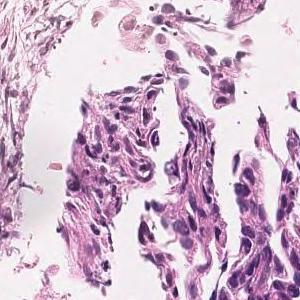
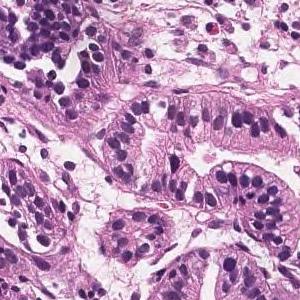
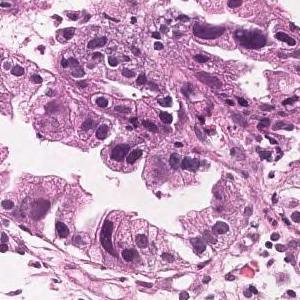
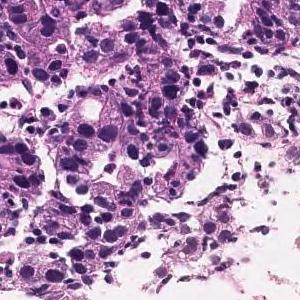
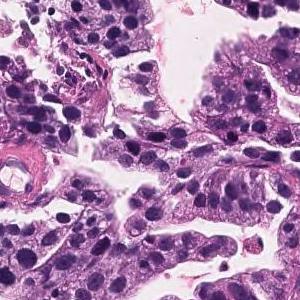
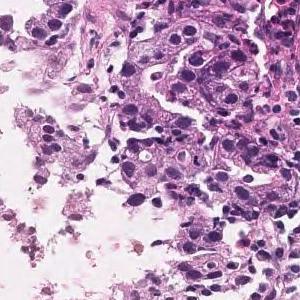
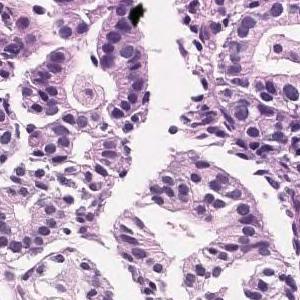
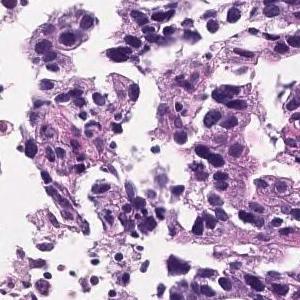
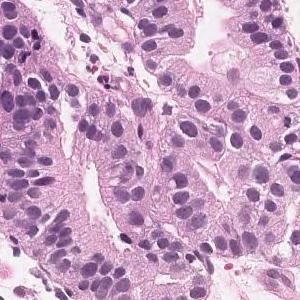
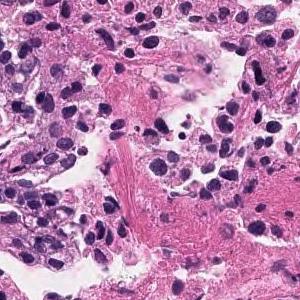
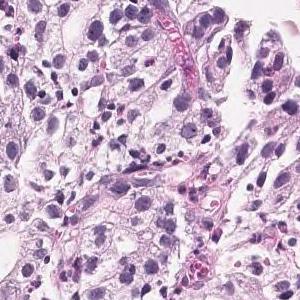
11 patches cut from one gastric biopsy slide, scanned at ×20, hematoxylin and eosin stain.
Pathology report for the biopsy slide these tiles were cut from. The report and the diagnosis describe the slide as a whole, so these tiles may not show every feature named and may include non-tumor tissue.
In the superficial epithelium, tumor tissue that invades by forming medium-sized to small, irregular ducts is observed. moderately differentiated tubular adenocarcinoma.
